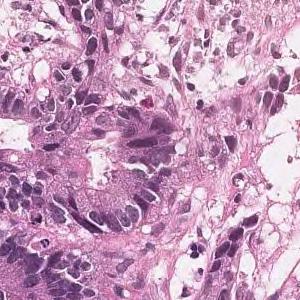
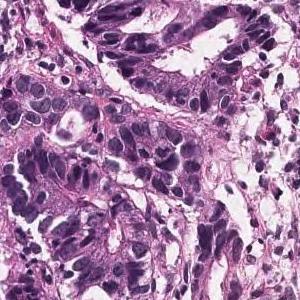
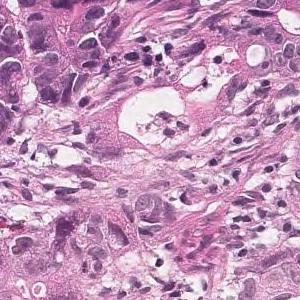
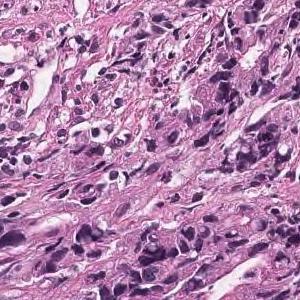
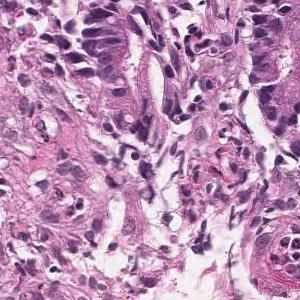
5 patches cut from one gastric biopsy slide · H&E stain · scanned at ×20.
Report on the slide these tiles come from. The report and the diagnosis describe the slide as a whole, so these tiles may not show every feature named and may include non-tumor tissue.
In the superficial epithelium, tumor tissue is found in which medium-sized irregular gland ducts fuse with each other and infiltrate. moderately differentiated tubular adenocarcinoma
